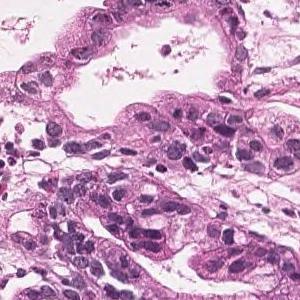
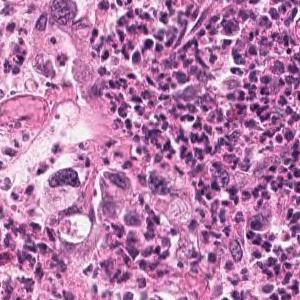
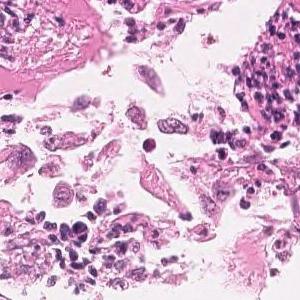
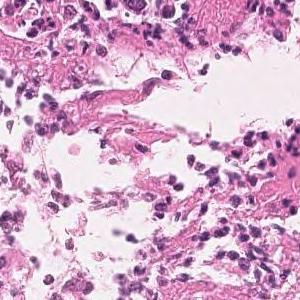
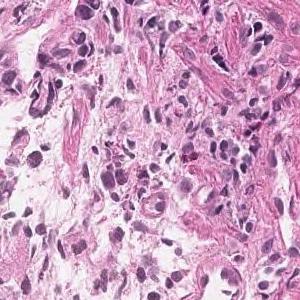
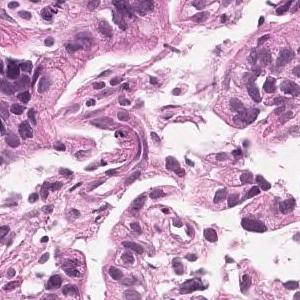
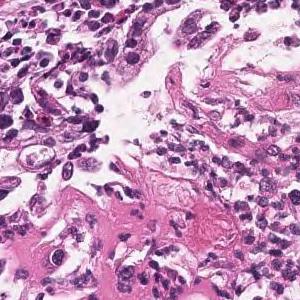
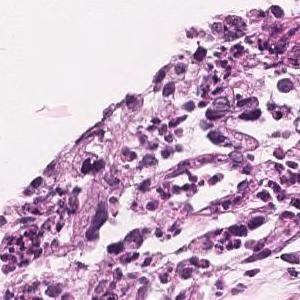
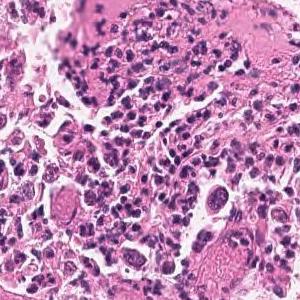
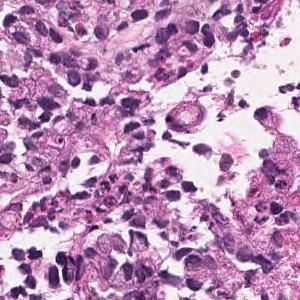
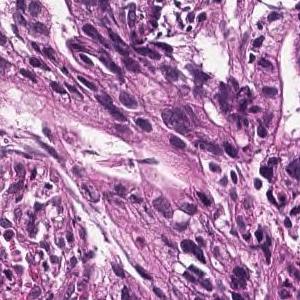
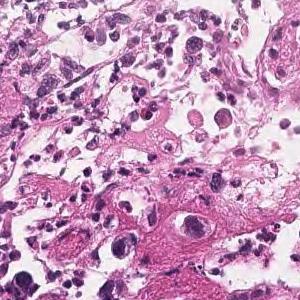
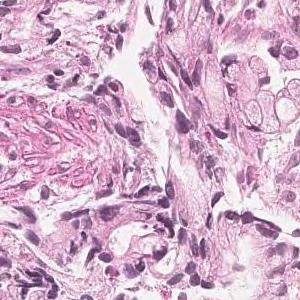
13 patches cut from one gastric biopsy slide, 20× magnification, H&E.
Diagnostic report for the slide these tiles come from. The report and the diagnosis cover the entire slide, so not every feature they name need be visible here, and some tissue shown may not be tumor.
In the superficial epithelium, medium to small irregular gland ducts are formed, and in some cases, the ducts are fused to show solid alveolar lesions and infiltrating tumor tissue is observed. Moderately to poorly differentiated adenocarcinoma
